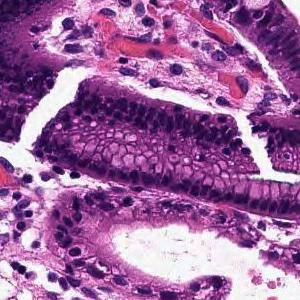
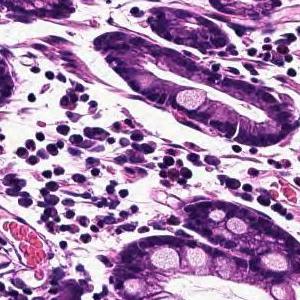
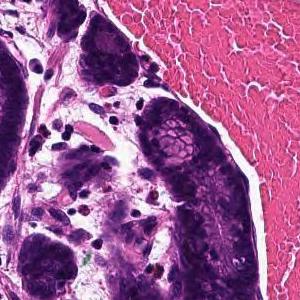
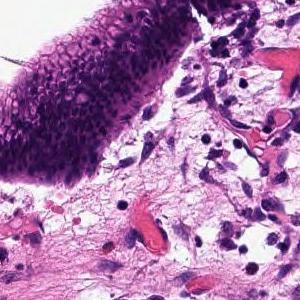
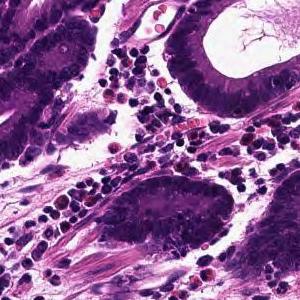
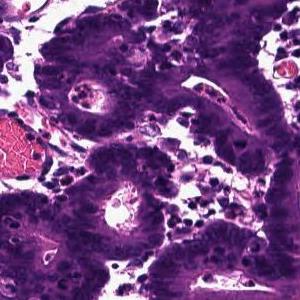
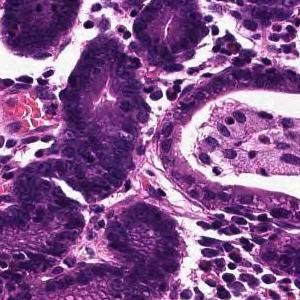
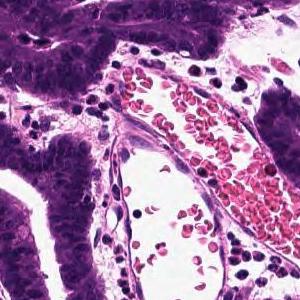
8 tiles from the same stomach biopsy slide · 300×300 px each · hematoxylin and eosin stain.
Diagnostic report for the slide these tiles come from. The findings and the diagnosis refer to the entire slide; these tiles show only part of it, possibly with non-tumor tissue, and may not show every feature named.
Tumor tissue that infiltrates by forming large papillary or large irregular glandular ducts is observed confined to the mucosa. Papillary adenocarcinoma
